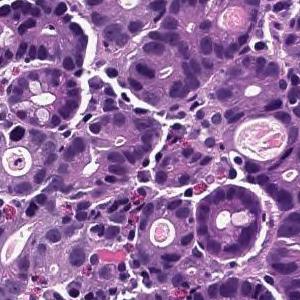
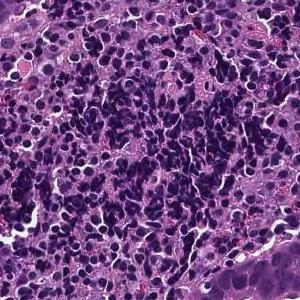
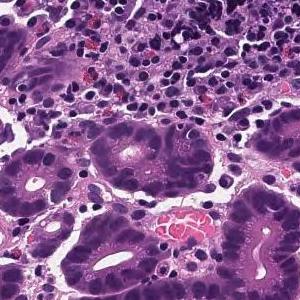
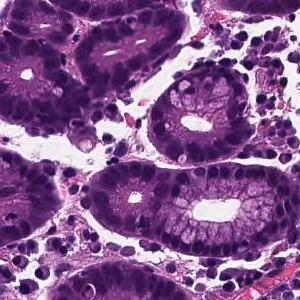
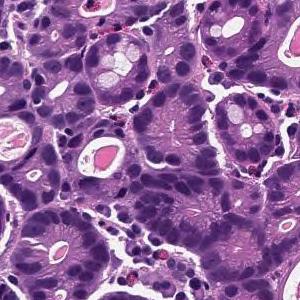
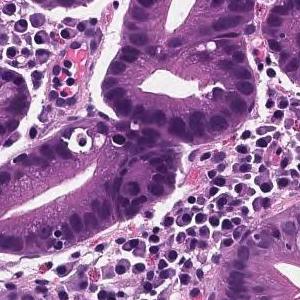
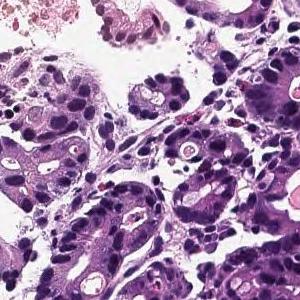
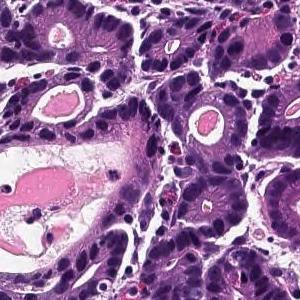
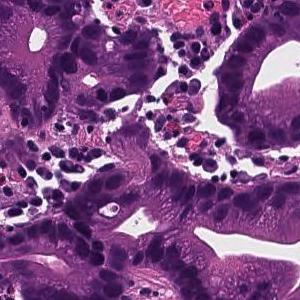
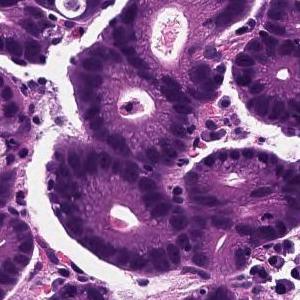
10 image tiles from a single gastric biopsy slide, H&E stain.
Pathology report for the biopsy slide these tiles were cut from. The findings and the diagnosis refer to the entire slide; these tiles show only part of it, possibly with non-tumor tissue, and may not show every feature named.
Cancer cells with strongly atypical nuclei grow while forming ducts showing lumens of various sizes. moderately differentiated tubular adenocarcinoma
